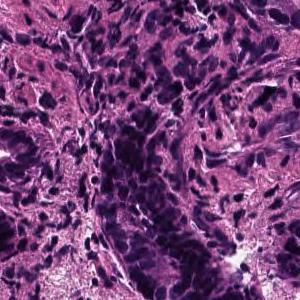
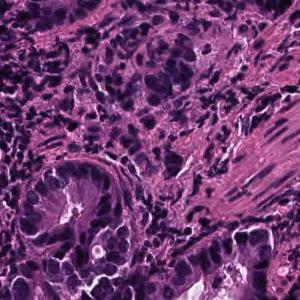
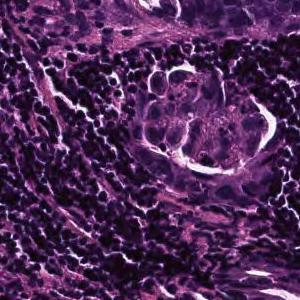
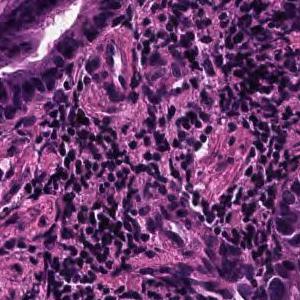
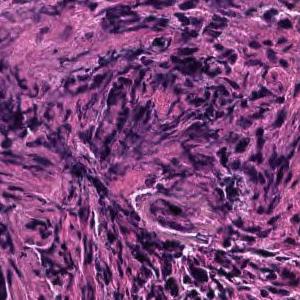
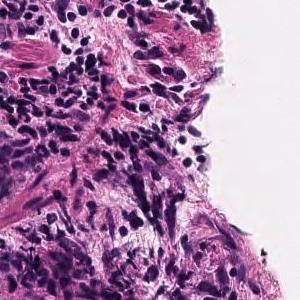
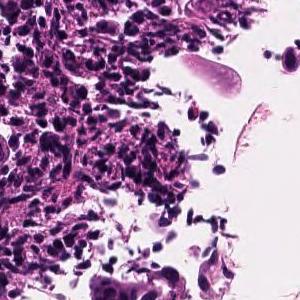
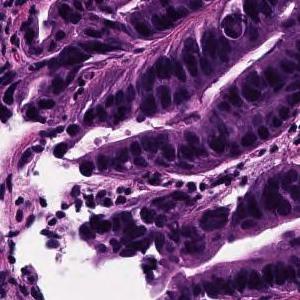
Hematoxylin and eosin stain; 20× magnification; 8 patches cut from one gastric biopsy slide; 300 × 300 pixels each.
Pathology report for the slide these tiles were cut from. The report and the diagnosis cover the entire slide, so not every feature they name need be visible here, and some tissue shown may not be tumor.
On the superficial epithelium, tumor tissue consisting of large, irregular glandular ducts partially fused and infiltrated is observed. Well to moderately differentiated tubular adenocarcinoma (well differentiated tubular adenocarcinoma, moderately differentiated tubular adenocarcinoma)
Histologic type: Well to moderately differentiated tubular adenocarcinoma.
